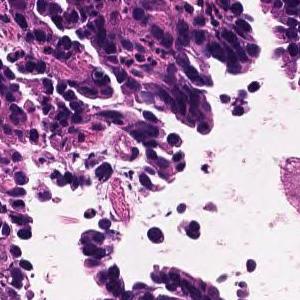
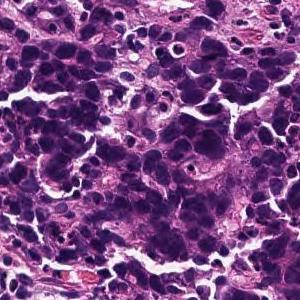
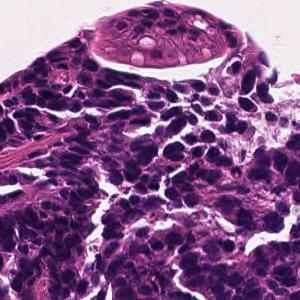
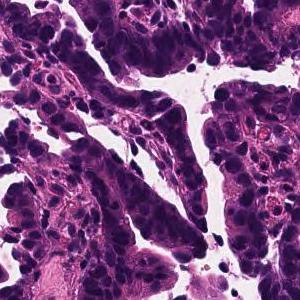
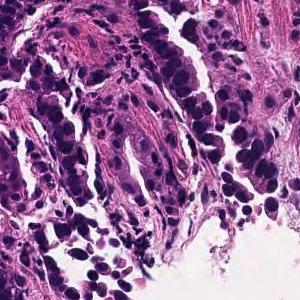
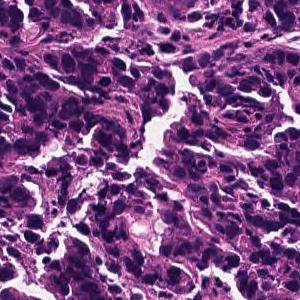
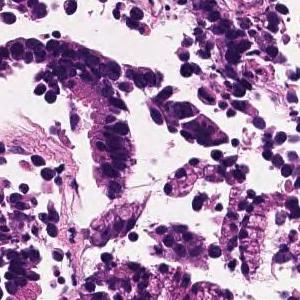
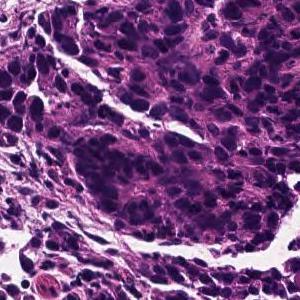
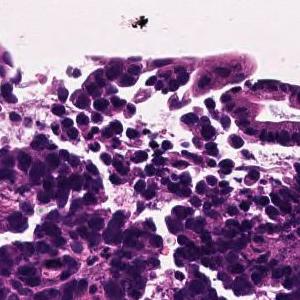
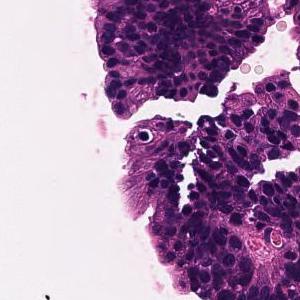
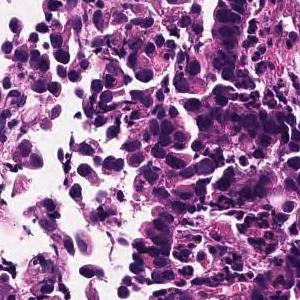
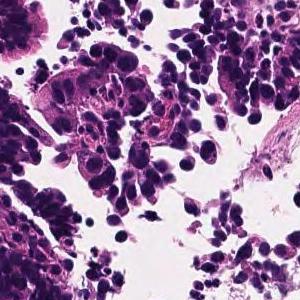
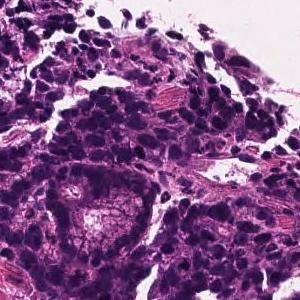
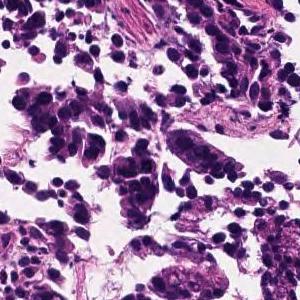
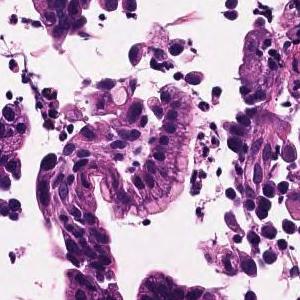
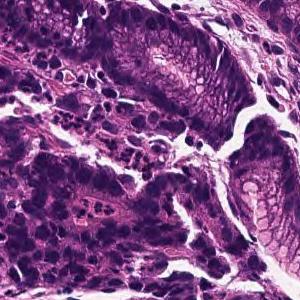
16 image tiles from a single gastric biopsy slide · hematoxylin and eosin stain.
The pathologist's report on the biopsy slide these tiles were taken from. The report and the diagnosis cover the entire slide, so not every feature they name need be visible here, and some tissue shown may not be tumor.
Medium to small, irregular glandular ducts are formed in the superficial epithelium, and in some cases, the glandular ducts are fused to show solid alveolar lesions and infiltrating tumor tissue is observed. Moderately to poorly differentiated adenocarcinoma.
